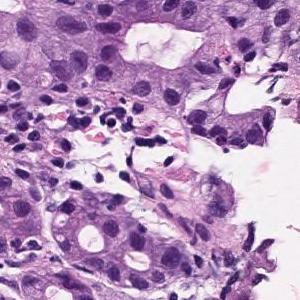
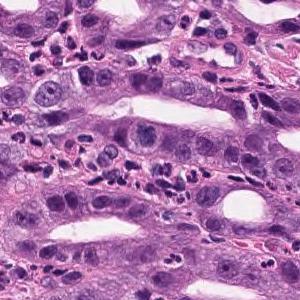
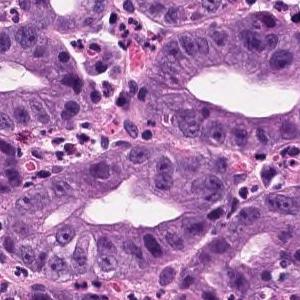
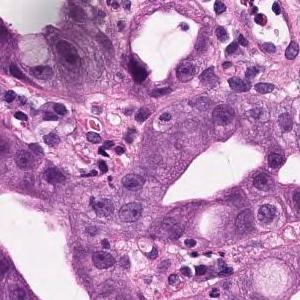
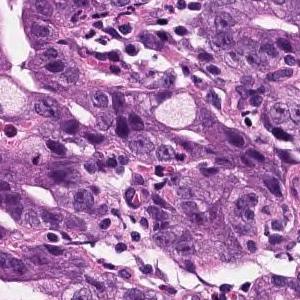
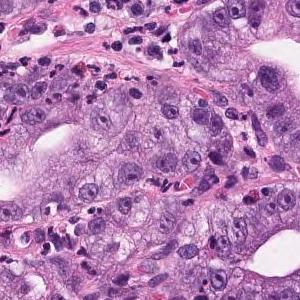
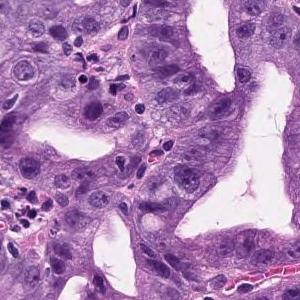
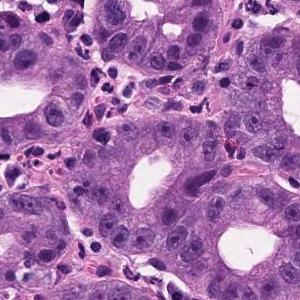
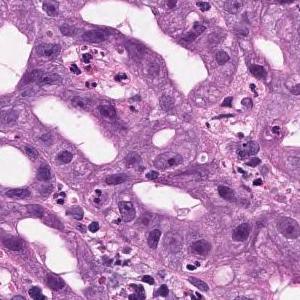
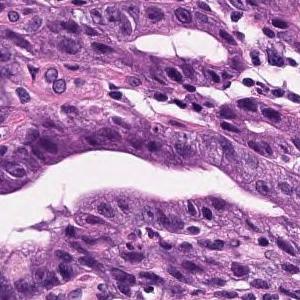
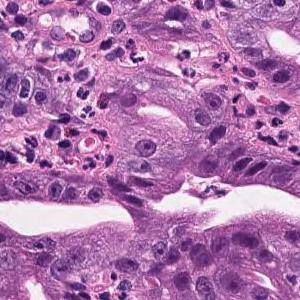
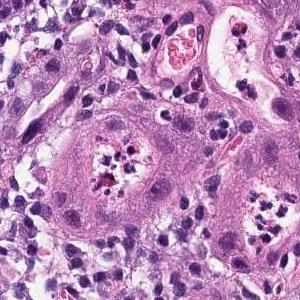
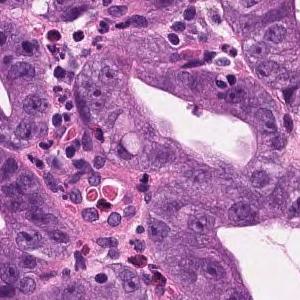
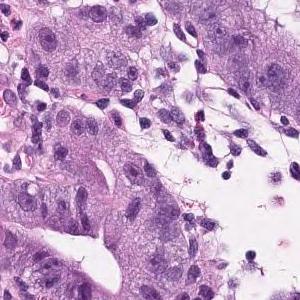
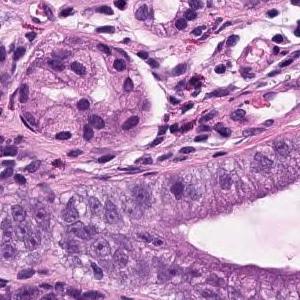
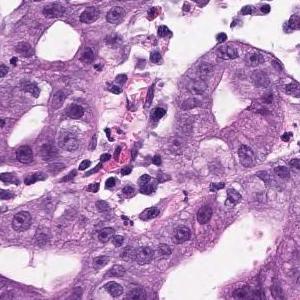
H&E stain; 16 tiles cut from one stomach biopsy slide.
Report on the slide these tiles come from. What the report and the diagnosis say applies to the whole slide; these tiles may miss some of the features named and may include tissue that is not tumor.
In the superficial epithelium, tumor tissue that invades by forming medium-sized to small, irregular ducts is observed. Well to moderately differentiated adenocarcinoma (well differentiated tubular adenocarcinoma, moderately differentiated tubular adenocarcinoma).
Classified as well to moderately differentiated tubular adenocarcinoma.
